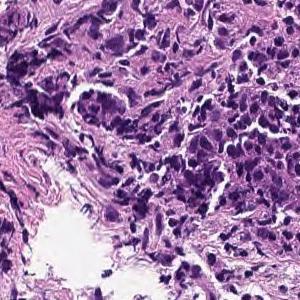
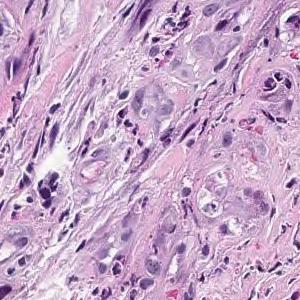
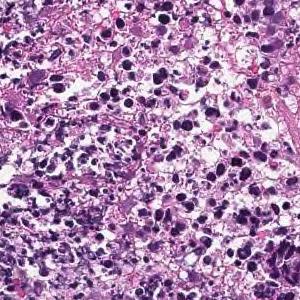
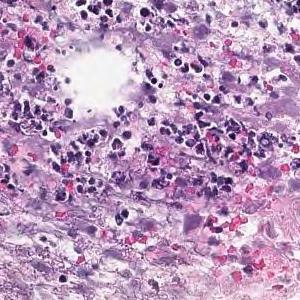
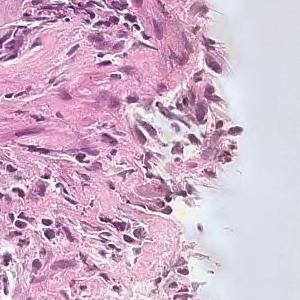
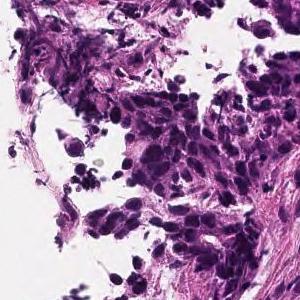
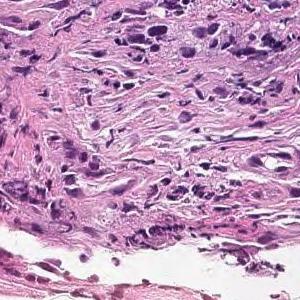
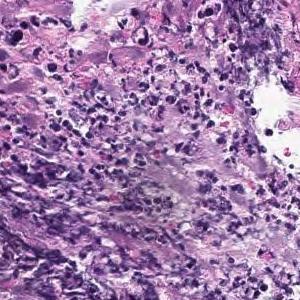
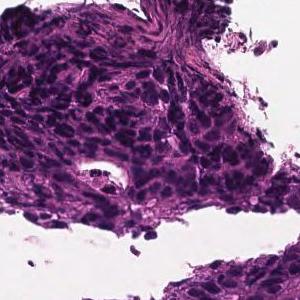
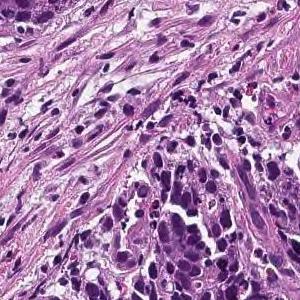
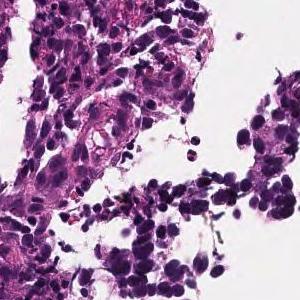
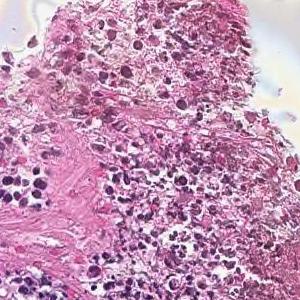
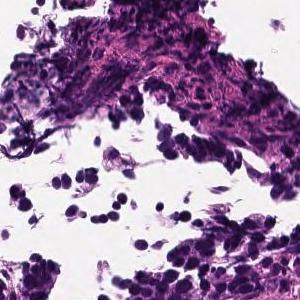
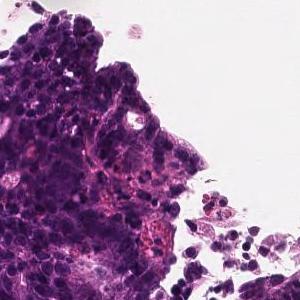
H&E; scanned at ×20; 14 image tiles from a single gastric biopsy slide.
Diagnostic report for the slide these tiles come from. The report describes the whole slide, diagnosis included: not every finding it names need appear in these tiles, which may also show non-tumor tissue.
In the superficial epithelium, tumor tissue that invades by forming medium-sized to small, irregular ducts is observed. moderately differentiated tubular adenocarcinoma.
